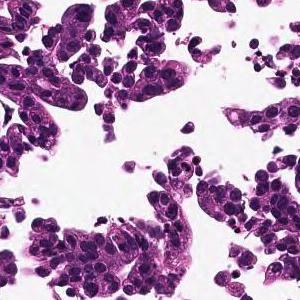
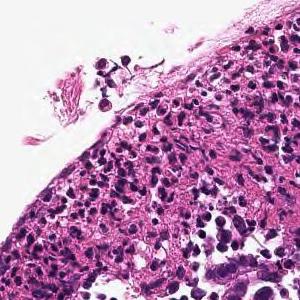
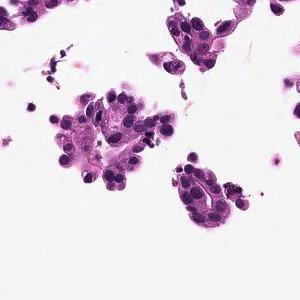
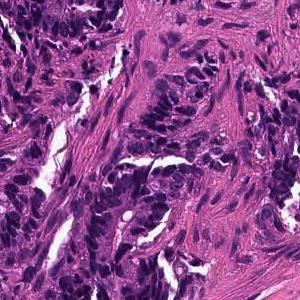
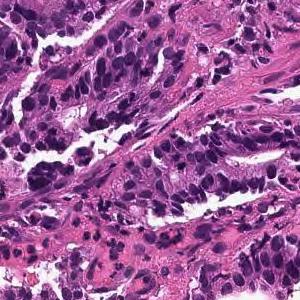
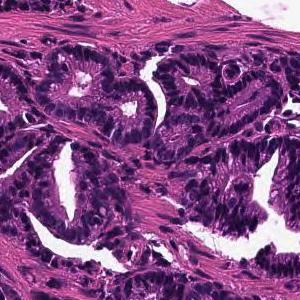
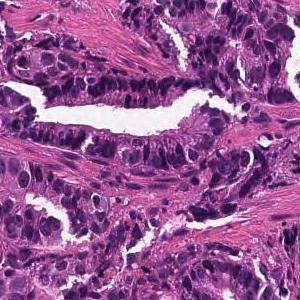
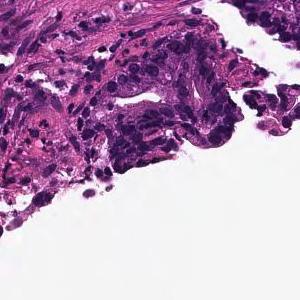
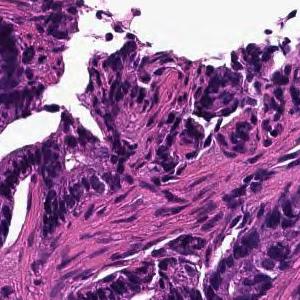
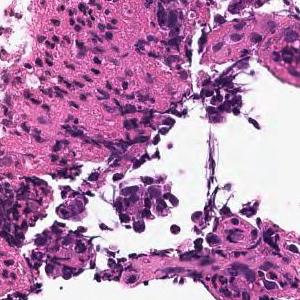
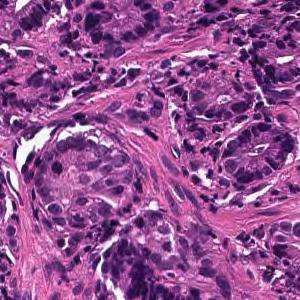
20× magnification · H&E stain · 11 patches cut from one gastric biopsy slide.
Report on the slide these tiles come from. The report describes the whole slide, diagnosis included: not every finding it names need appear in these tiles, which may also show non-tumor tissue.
In the superficial epithelium, tumor tissue that invades by forming medium-sized to small, irregular ducts is observed. moderately differentiated tubular adenocarcinoma.
